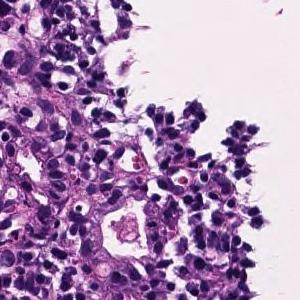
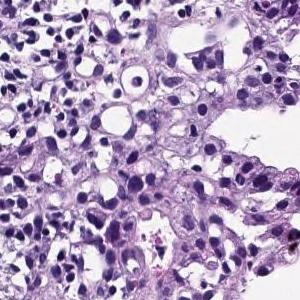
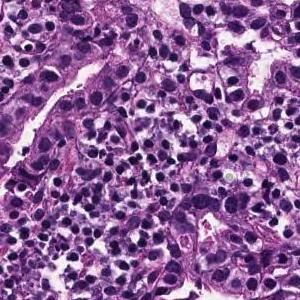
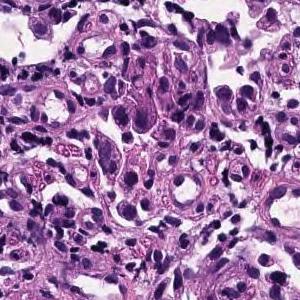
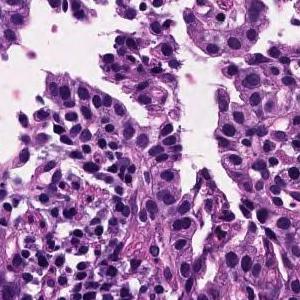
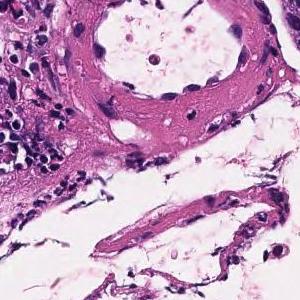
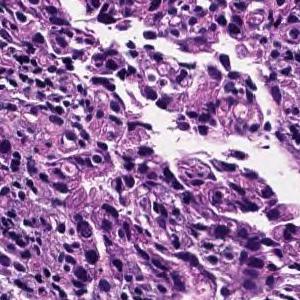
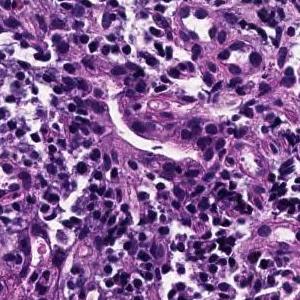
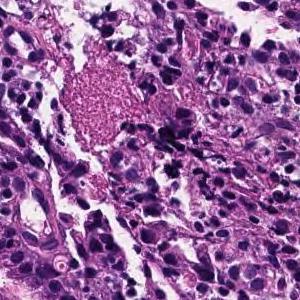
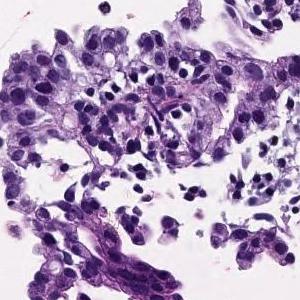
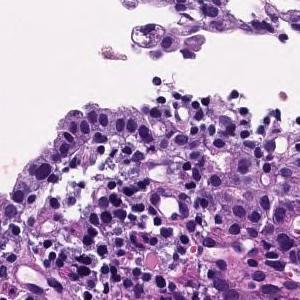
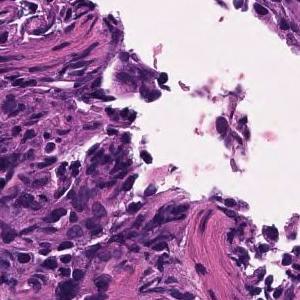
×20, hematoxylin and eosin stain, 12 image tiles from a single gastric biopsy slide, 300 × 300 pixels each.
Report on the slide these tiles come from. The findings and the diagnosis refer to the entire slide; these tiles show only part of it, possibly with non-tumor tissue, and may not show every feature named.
Medium to small, irregular glandular ducts are formed in the superficial epithelium, and in some cases, the glandular ducts are fused to show solid alveolar lesions and infiltrating tumor tissue is observed. Moderately to poorly differentiated adenocarcinoma.
